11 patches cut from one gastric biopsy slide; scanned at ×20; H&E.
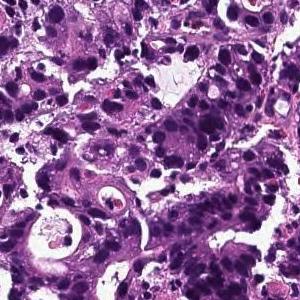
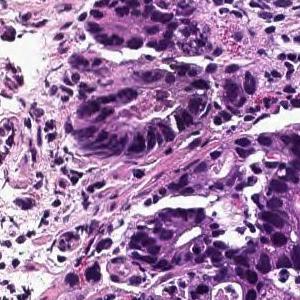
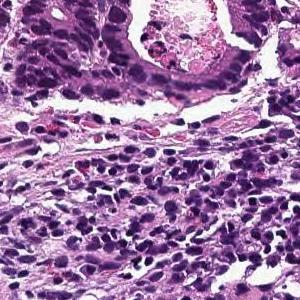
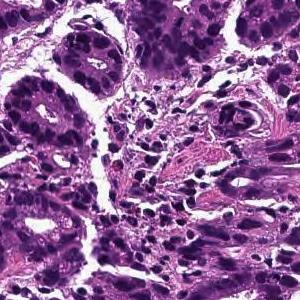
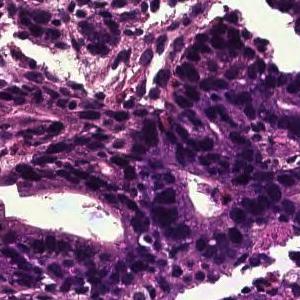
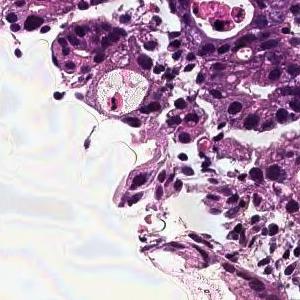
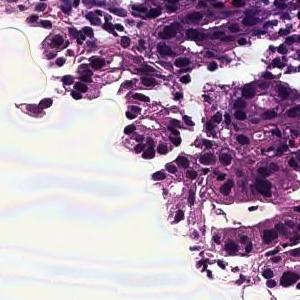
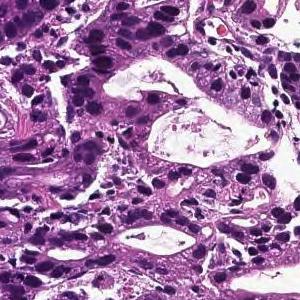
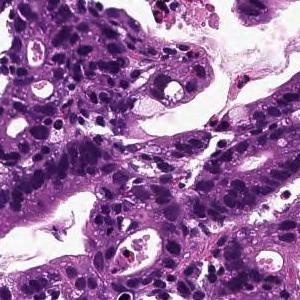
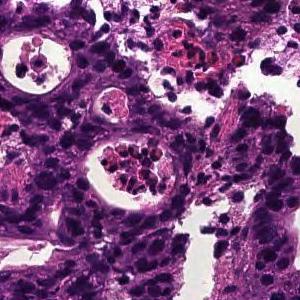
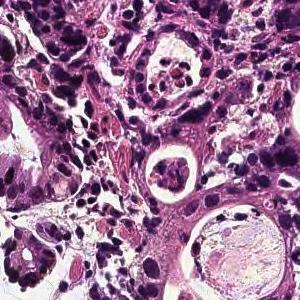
The pathologist's report on the biopsy slide these tiles were taken from. The report describes the whole slide, diagnosis included: not every finding it names need appear in these tiles, which may also show non-tumor tissue.
In the superficial epithelium, tumor tissue that invades by forming medium-sized to small, irregular ducts is observed. moderately differentiated tubular adenocarcinoma.
